×20 · 4 image tiles from a single gastric biopsy slide · 300×300 px each.
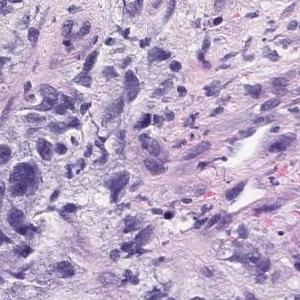
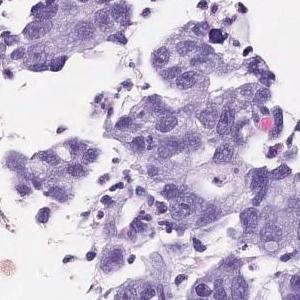
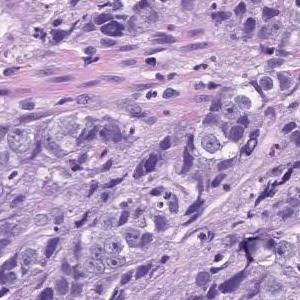
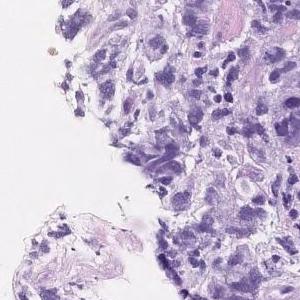
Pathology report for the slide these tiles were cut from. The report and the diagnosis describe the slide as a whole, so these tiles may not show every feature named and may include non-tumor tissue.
Atypical l cells with atypical nuclei forming solid vesicles or small irregular atypical ducts that proliferate in a complex manner. poorly differentiated adenocarcinoma, solid type, moderately differentiated tubular adenocarcinoma
"Solid type" is a category of the Japanese Classification of Gastric Carcinoma; in the WHO 2019 classification it is tubular adenocarcinoma, poorly differentiated.
